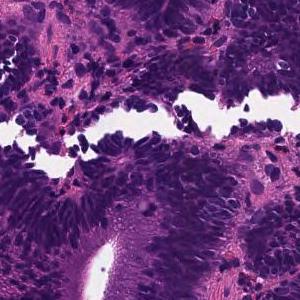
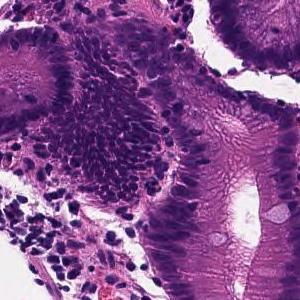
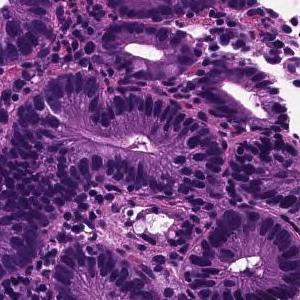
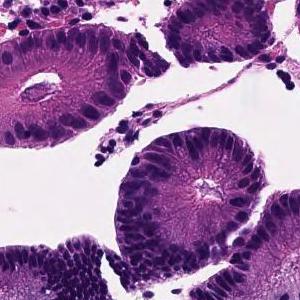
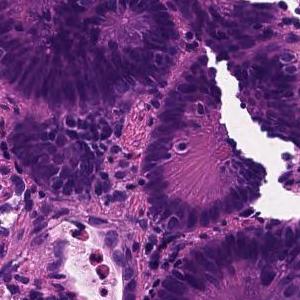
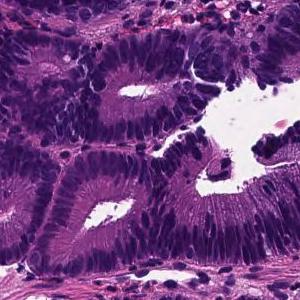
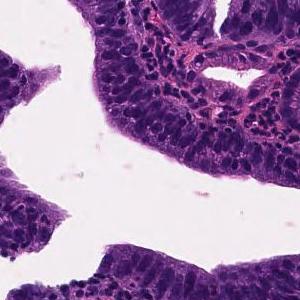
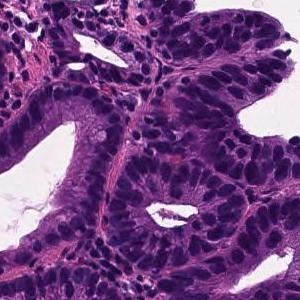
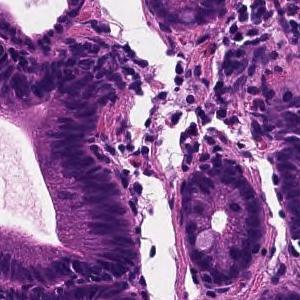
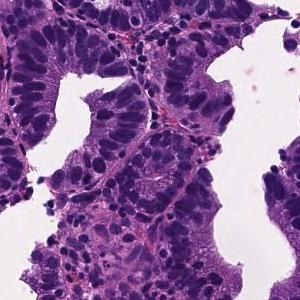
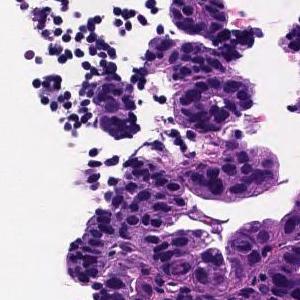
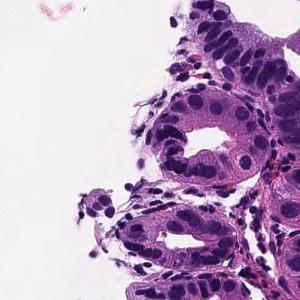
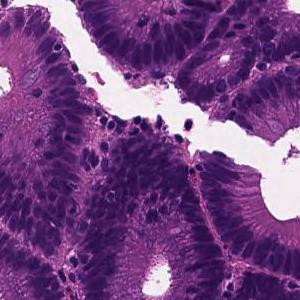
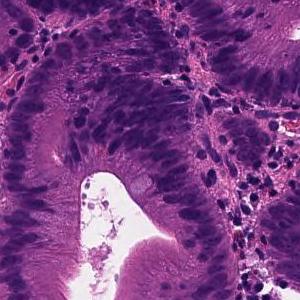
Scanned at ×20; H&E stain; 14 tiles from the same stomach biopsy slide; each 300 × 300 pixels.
Pathology report for the biopsy slide these tiles were cut from. The report describes the whole slide, diagnosis included: not every finding it names need appear in these tiles, which may also show non-tumor tissue.
Tumor tissue in which medium to small irregular ducts infiltrate and proliferate in the submucosa can be seen in the epithelium. Well differentiated tubular adenocarcinoma
